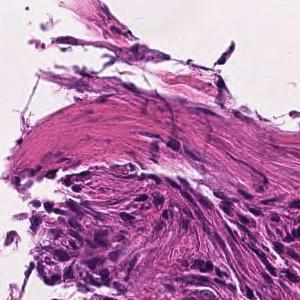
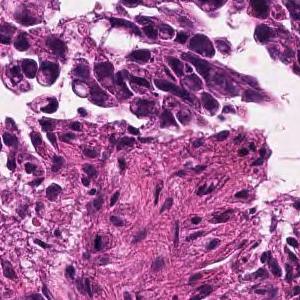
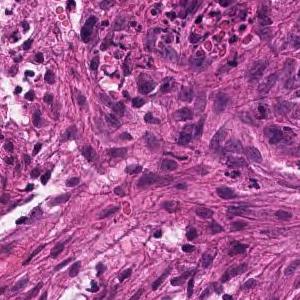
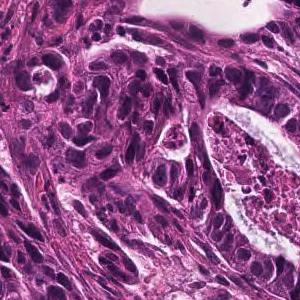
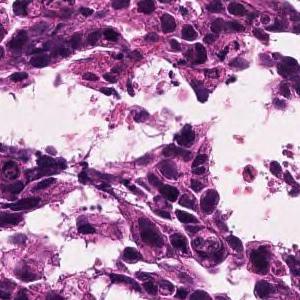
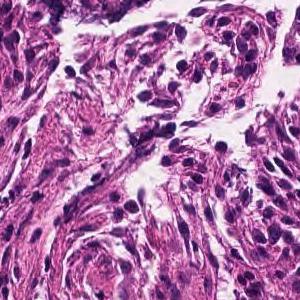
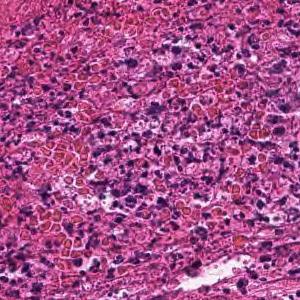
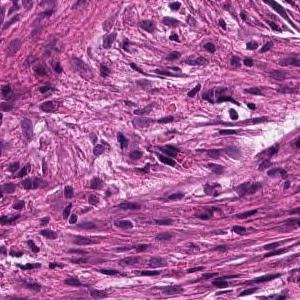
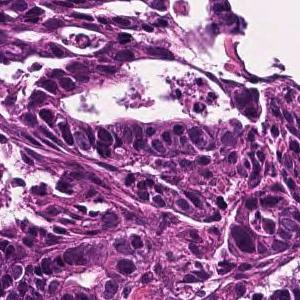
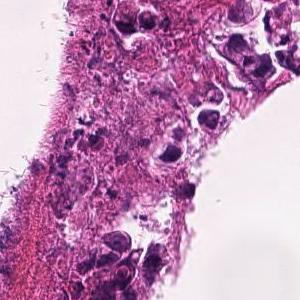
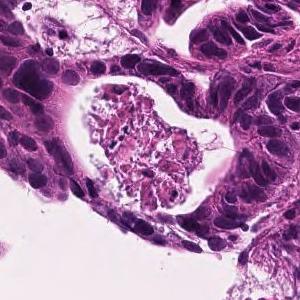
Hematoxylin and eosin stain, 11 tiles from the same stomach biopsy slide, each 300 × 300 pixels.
Pathology report for the slide these tiles were cut from. The report and the diagnosis describe the slide as a whole, so these tiles may not show every feature named and may include non-tumor tissue.
In the superficial epithelium, tumor tissue that invades by forming medium-sized to small, irregular ducts is observed. moderately differentiated tubular adenocarcinoma.
